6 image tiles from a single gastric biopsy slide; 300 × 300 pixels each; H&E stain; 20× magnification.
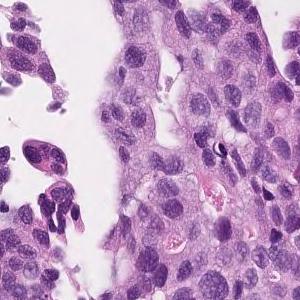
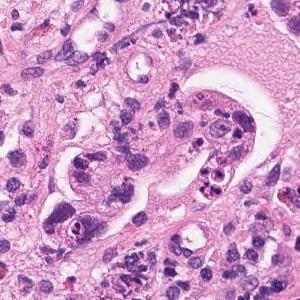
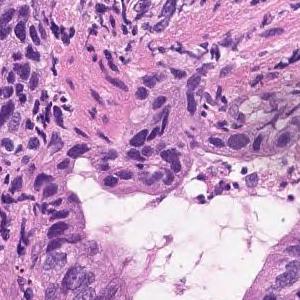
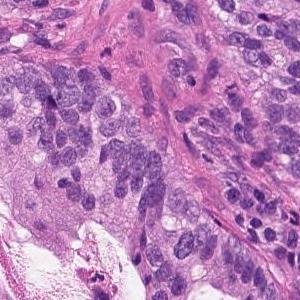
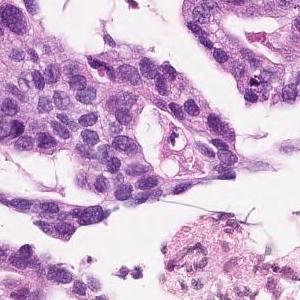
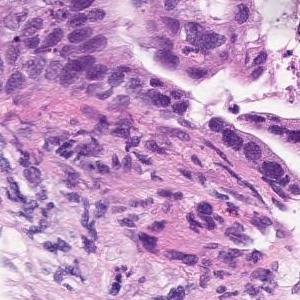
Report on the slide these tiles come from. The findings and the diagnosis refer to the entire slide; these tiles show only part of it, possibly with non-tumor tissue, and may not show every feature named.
Atypical epithelium forming papillary or sieving ducts and infiltrating growth is observed. Papillary adenocarcinoma.
